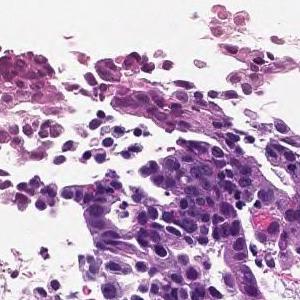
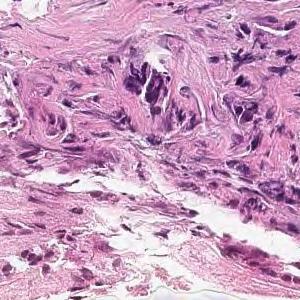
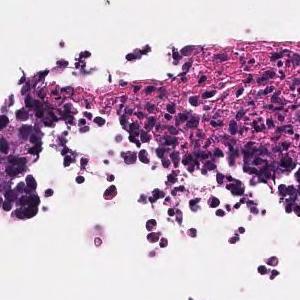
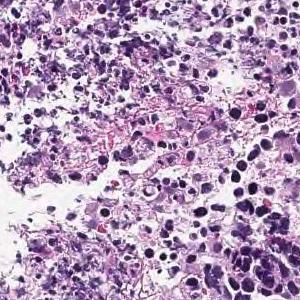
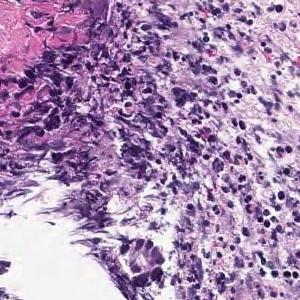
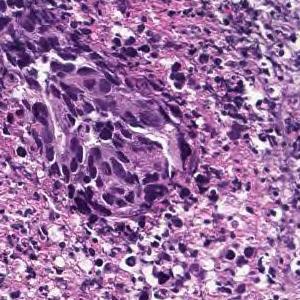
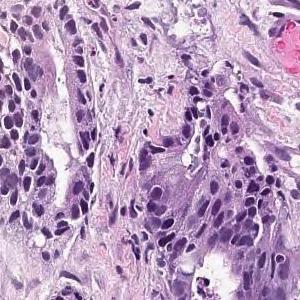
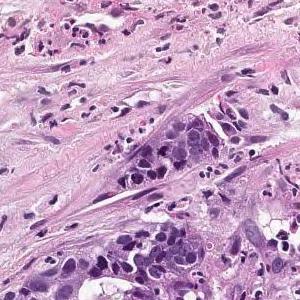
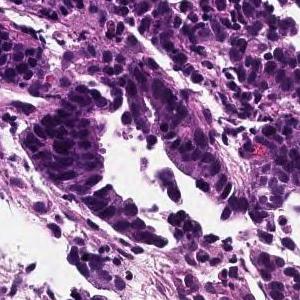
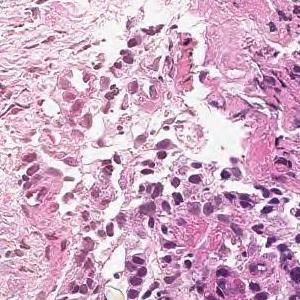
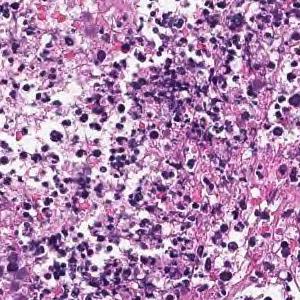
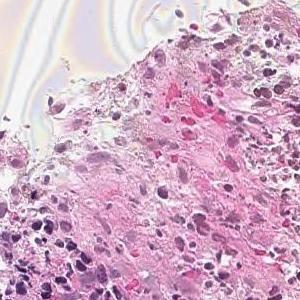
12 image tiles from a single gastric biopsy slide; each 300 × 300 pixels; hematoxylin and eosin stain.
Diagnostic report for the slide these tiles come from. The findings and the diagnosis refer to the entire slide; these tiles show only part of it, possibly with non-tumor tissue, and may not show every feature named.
In the superficial epithelium, tumor tissue that invades by forming medium-sized to small, irregular ducts is observed. moderately differentiated tubular adenocarcinoma.
